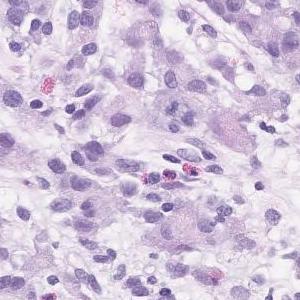
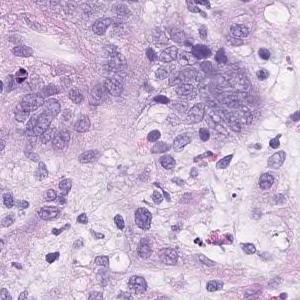
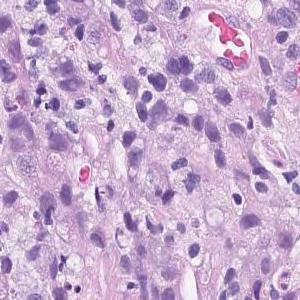
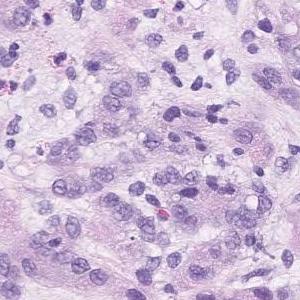
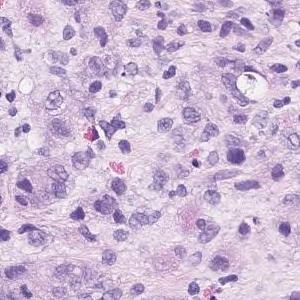
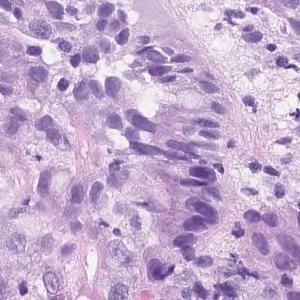
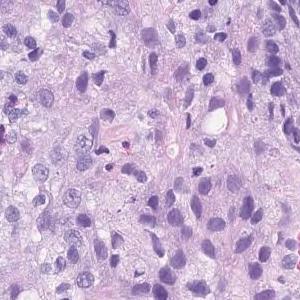
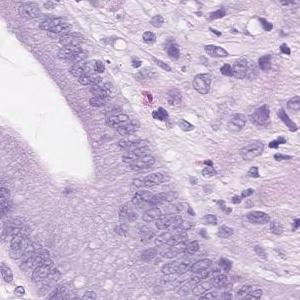
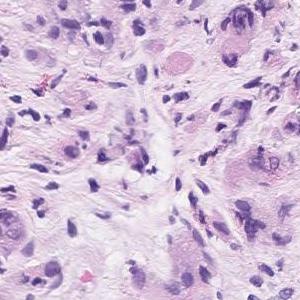
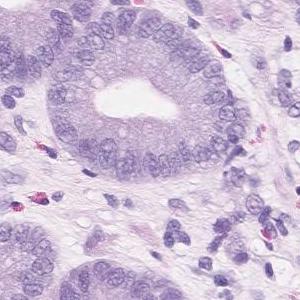
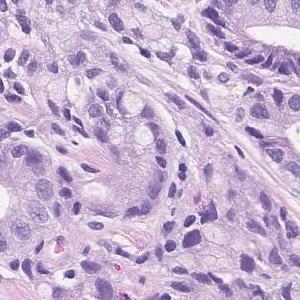
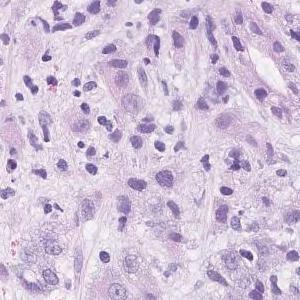
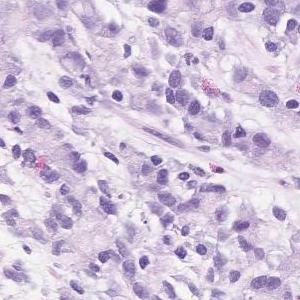
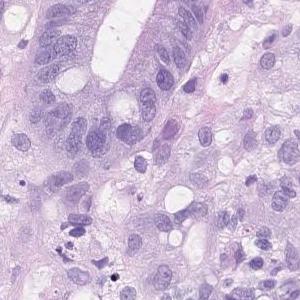
×20 · H&E · 14 patches cut from one gastric biopsy slide · 300×300 px each.
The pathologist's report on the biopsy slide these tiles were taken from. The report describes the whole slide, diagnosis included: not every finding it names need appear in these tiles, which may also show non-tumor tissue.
Group 5, Adenocarcinoma. Poorly differentiated adenocarcinoma, non-solid type
The non-solid type named here is a Japanese Classification of Gastric Carcinoma category.
